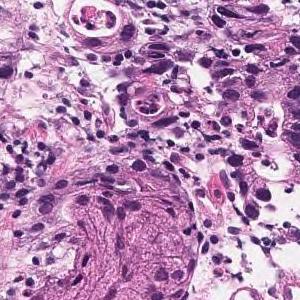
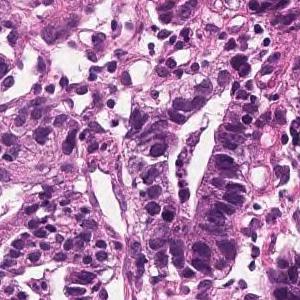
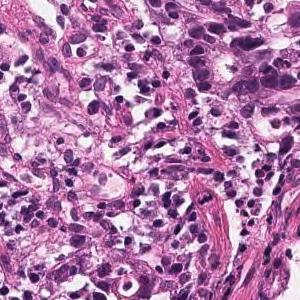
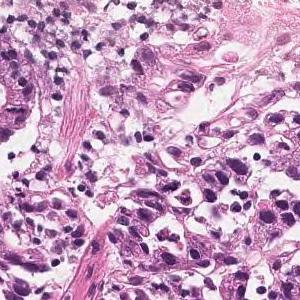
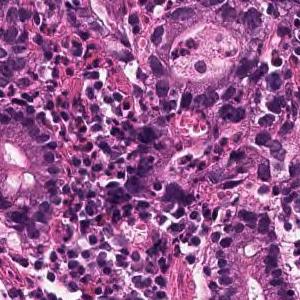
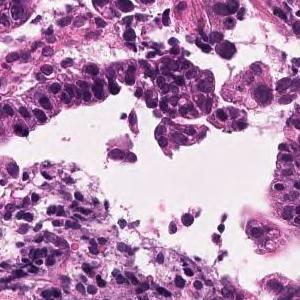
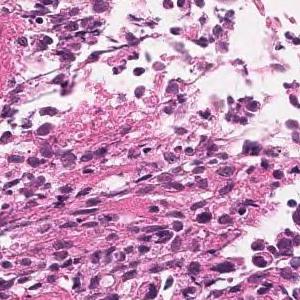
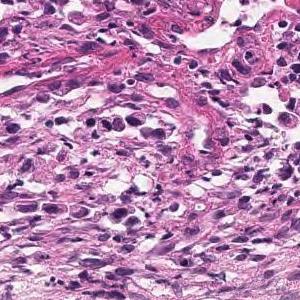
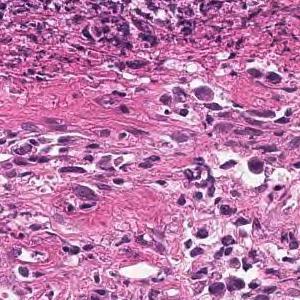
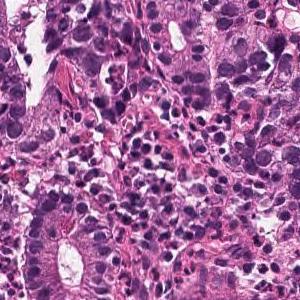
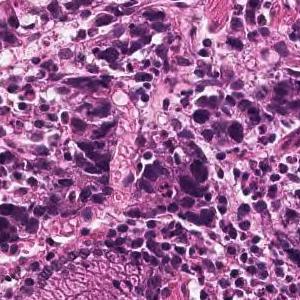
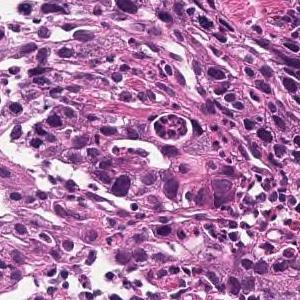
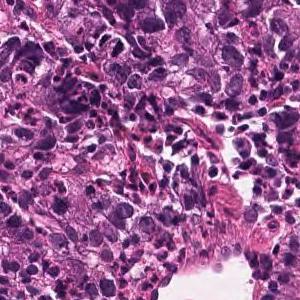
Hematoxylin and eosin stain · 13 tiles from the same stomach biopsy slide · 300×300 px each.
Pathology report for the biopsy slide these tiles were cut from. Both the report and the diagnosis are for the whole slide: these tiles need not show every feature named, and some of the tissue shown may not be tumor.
In the superficial epithelium, tumor tissue that invades by forming medium-sized to small, irregular ducts is observed. Moderately differentiated adenocarcinoma.
Histologic type: Moderately differentiated tubular adenocarcinoma.
